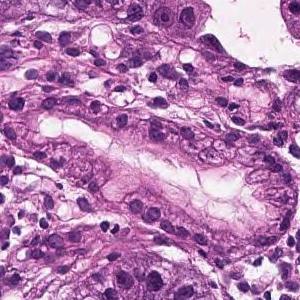
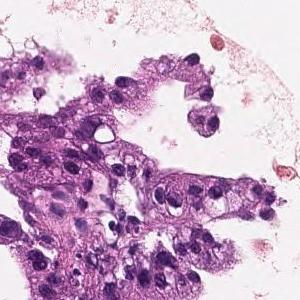
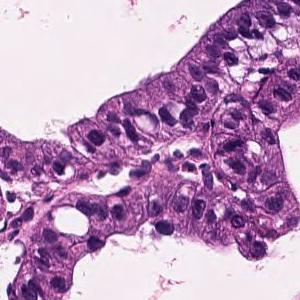
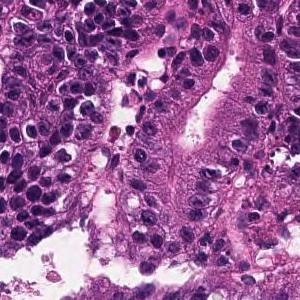
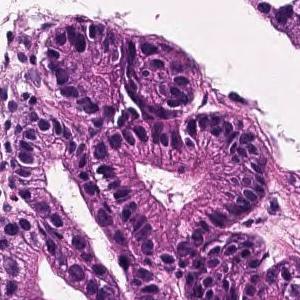
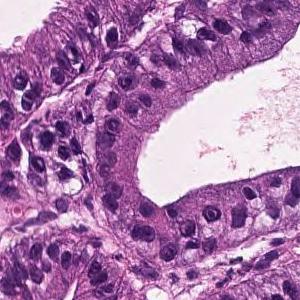
H&E · 20× magnification · 6 tiles cut from one stomach biopsy slide · 300 × 300 pixels each.
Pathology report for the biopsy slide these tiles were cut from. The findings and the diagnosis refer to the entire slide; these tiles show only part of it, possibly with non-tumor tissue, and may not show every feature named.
On the superficial epithelium, tumor tissue that infiltrates by forming medium-sized papillary or small irregular ducts is observed. Papillary adenocarcinoma
